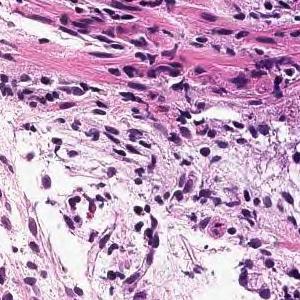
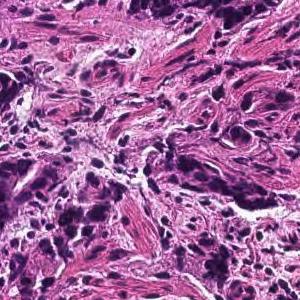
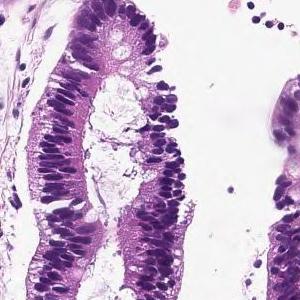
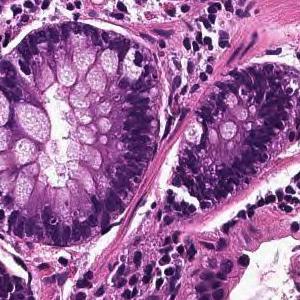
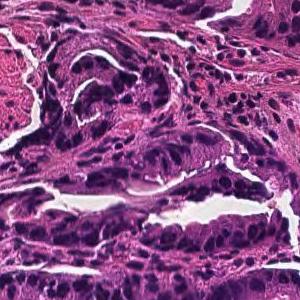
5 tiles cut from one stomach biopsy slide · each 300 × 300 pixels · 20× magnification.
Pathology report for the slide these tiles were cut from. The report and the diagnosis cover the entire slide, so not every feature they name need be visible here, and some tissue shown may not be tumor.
From the superficial epithelium to the muscularis mucosae, tumor tissue consisting of medium-sized and irregular glandular ducts infiltrating is observed. Well differentiated tubular adenocarcinoma
